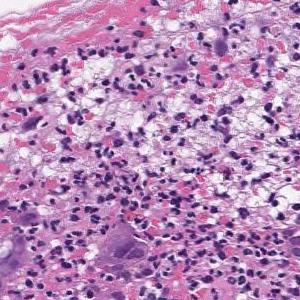
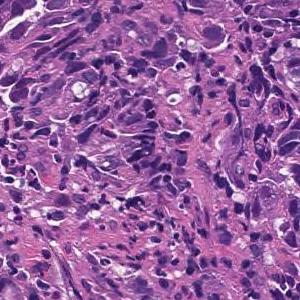
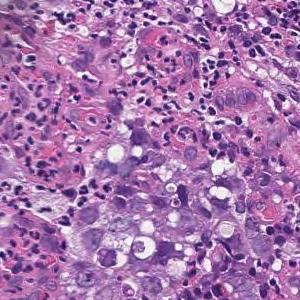
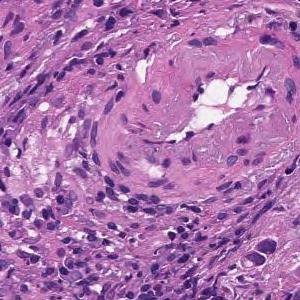
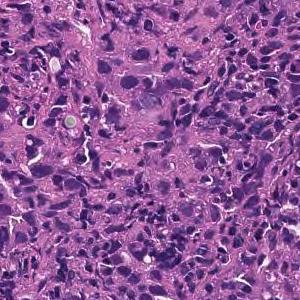
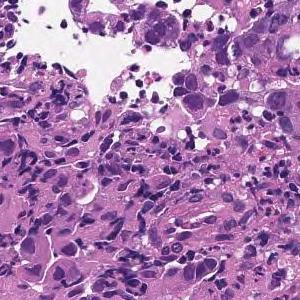
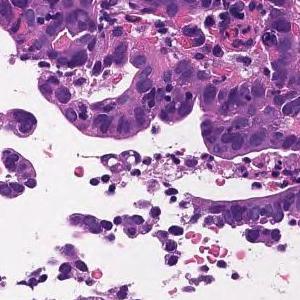
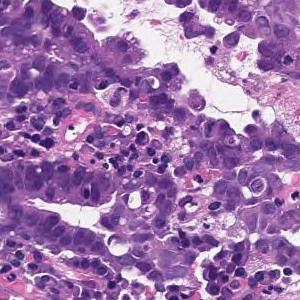
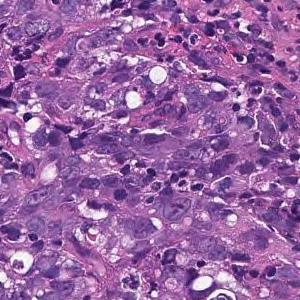
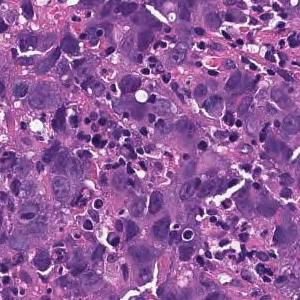
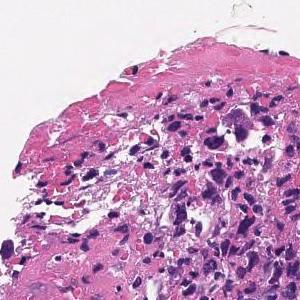
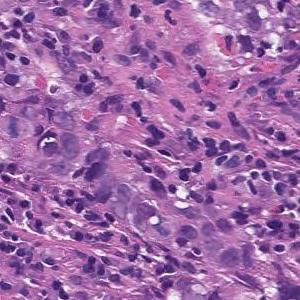
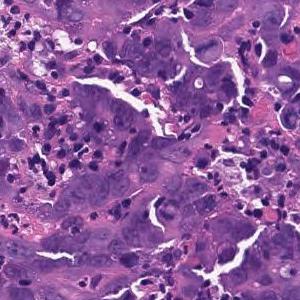
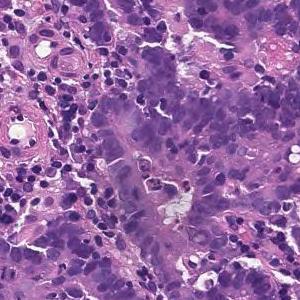
Scanned at ×20; H&E stain; 14 tiles from the same stomach biopsy slide.
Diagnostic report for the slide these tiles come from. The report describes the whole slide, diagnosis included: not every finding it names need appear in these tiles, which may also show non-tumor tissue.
Tumor tissue consisting of cord-like or small, irregular glandular ducts fused and infiltrated is observed in the superficial epithelium. Poorly differentiated adenocarcinoma, non-solid type
The non-solid type named here is a Japanese Classification of Gastric Carcinoma category.
